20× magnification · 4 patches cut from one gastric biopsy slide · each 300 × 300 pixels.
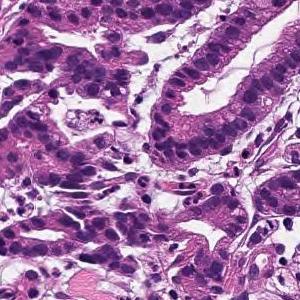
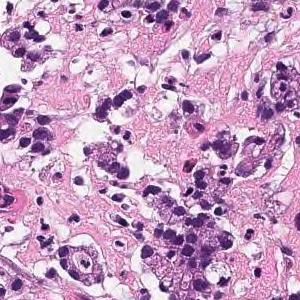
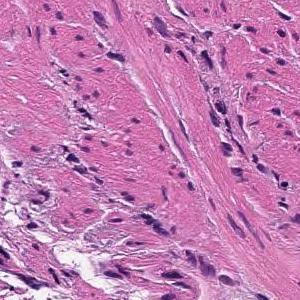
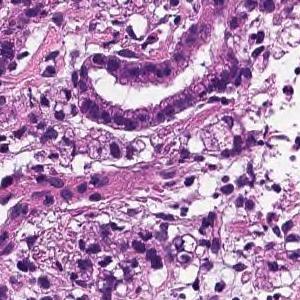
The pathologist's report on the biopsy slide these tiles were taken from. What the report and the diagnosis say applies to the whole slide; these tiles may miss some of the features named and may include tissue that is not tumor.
In the superficial epithelium, tumor tissue that invades by forming medium-sized to small, irregular ducts is observed. moderately differentiated tubular adenocarcinoma.
